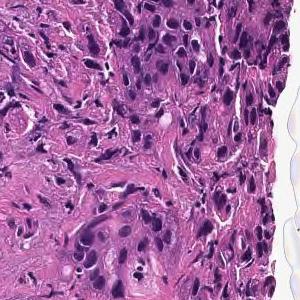
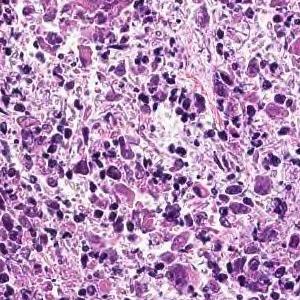
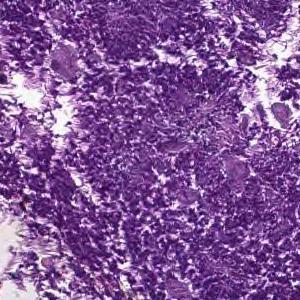
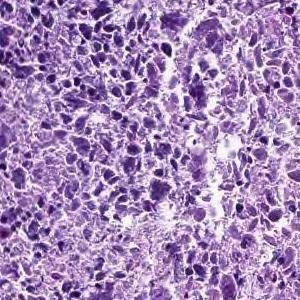
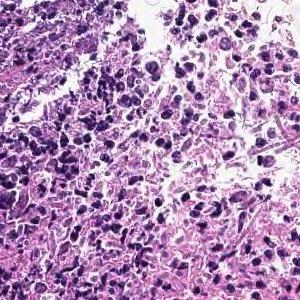
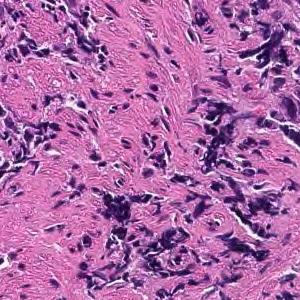
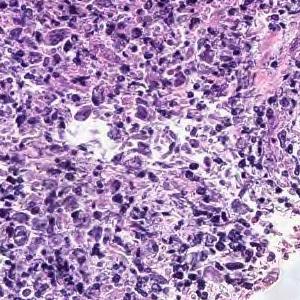
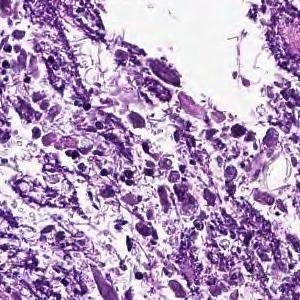
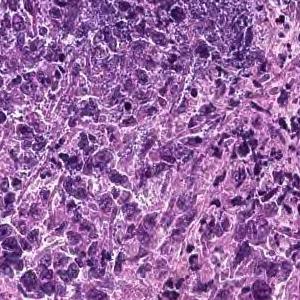
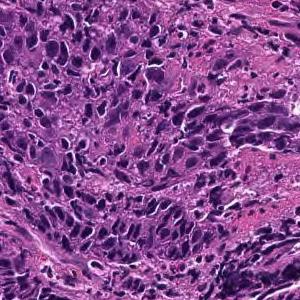
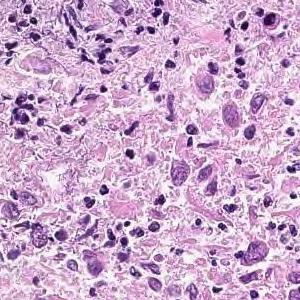
Hematoxylin and eosin stain · ×20 · 11 tiles cut from one stomach biopsy slide.
Pathology report for the slide these tiles were cut from. Both the report and the diagnosis are for the whole slide: these tiles need not show every feature named, and some of the tissue shown may not be tumor.
Cancers with polygonal nuclei do not show glandular formation and are densely, in part, cord-like and proliferate. Poorly differentiated adenocarcinoma
Histologic type: Poorly differentiated adenocarcinoma, non-solid type.
"Non-solid type" is a category of the Japanese Classification of Gastric Carcinoma.
